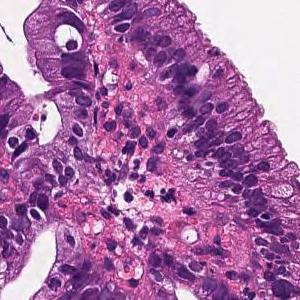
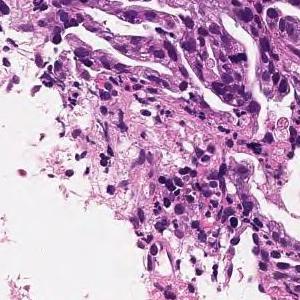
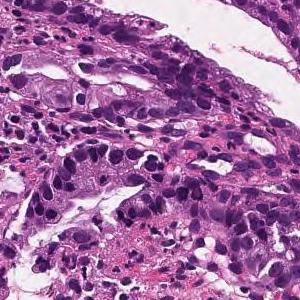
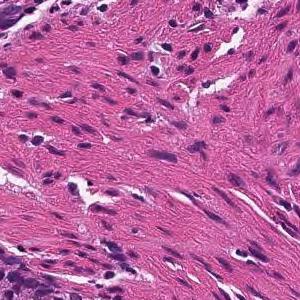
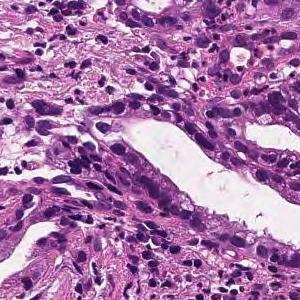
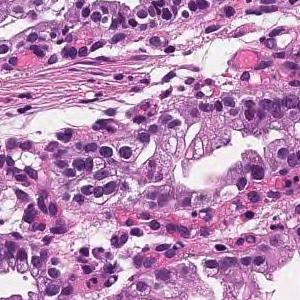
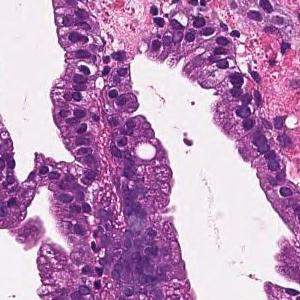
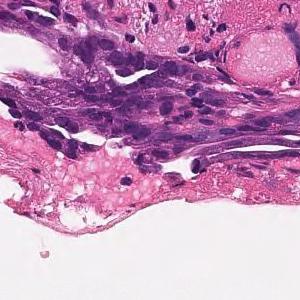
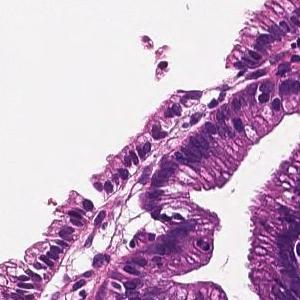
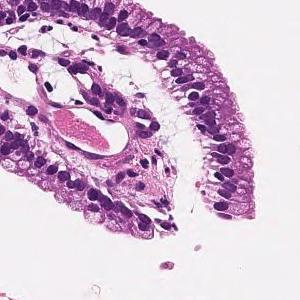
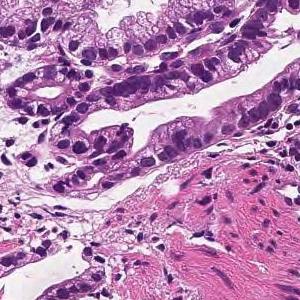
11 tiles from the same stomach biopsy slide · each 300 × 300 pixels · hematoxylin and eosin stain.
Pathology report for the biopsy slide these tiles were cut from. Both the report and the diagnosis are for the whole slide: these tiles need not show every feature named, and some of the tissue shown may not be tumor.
On the superficial epithelium, tumor tissue that infiltrates by forming medium-sized papillary or small irregular ducts is observed. Papillary adenocarcinoma
